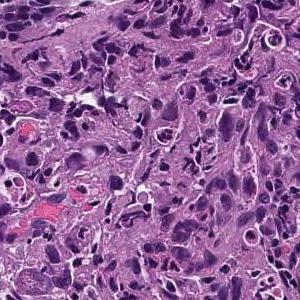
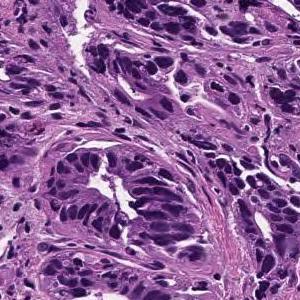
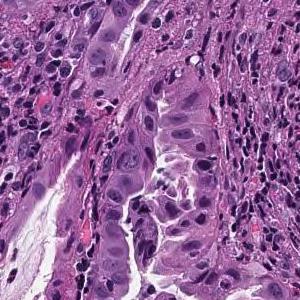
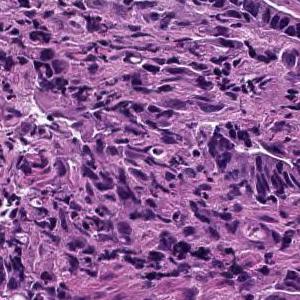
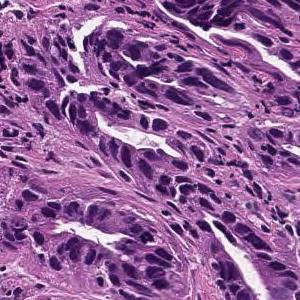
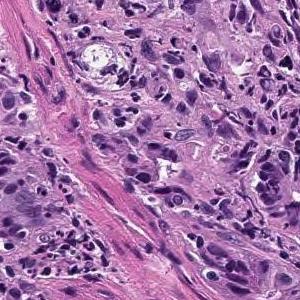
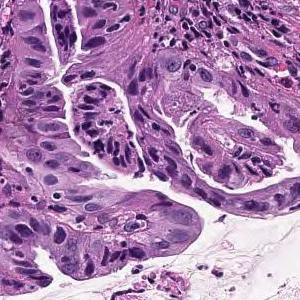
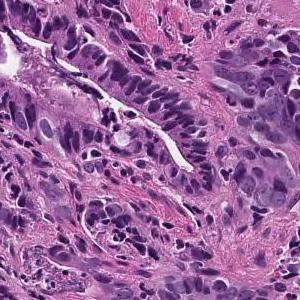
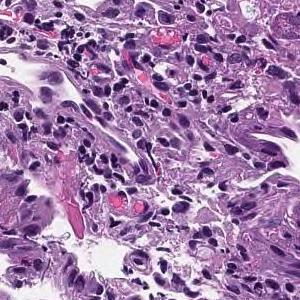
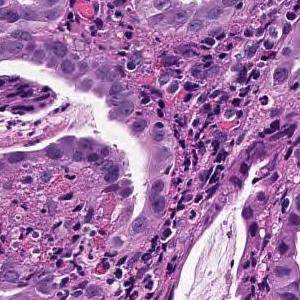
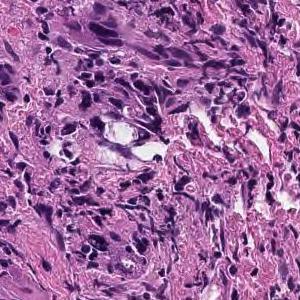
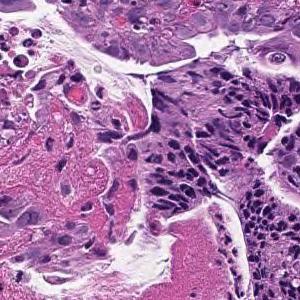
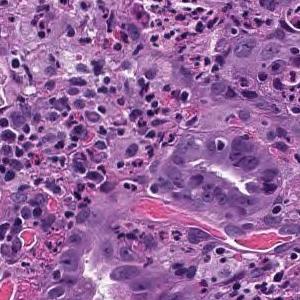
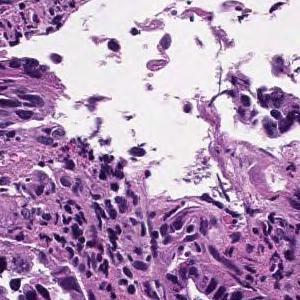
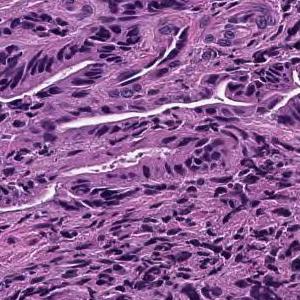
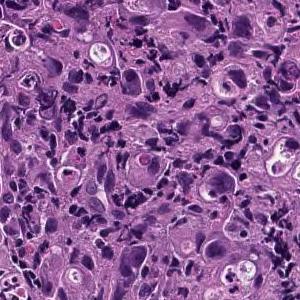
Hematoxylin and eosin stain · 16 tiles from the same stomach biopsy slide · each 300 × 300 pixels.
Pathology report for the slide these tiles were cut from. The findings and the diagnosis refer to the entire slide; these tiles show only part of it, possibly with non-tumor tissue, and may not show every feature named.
On the superficial epithelium, tumor tissue consisting of large, irregular glandular ducts partially fused and infiltrated is observed. Well to moderately differentiated tubular adenocarcinoma (well differentiated tubular adenocarcinoma, moderately differentiated tubular adenocarcinoma)
Classified as well to moderately differentiated tubular adenocarcinoma.
